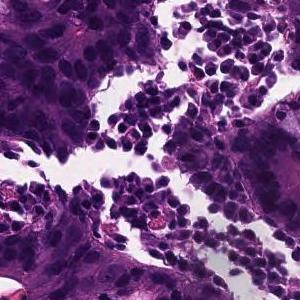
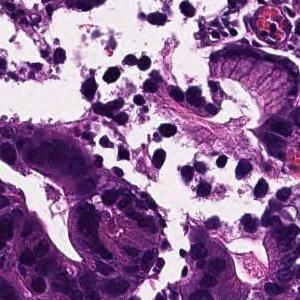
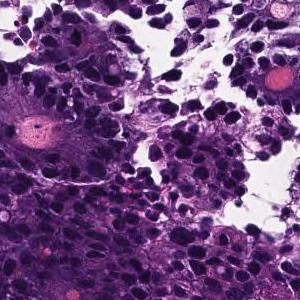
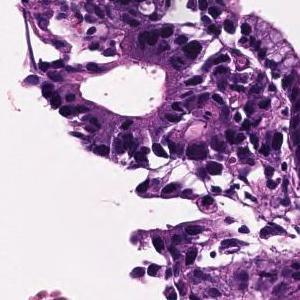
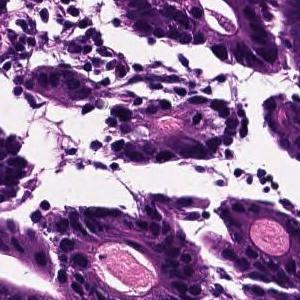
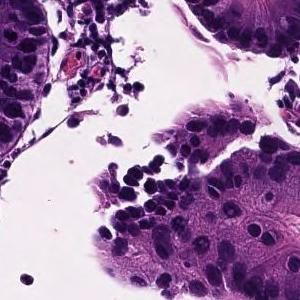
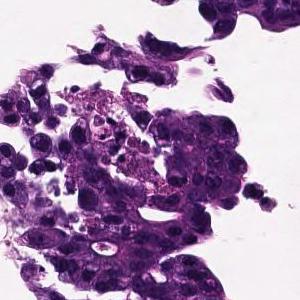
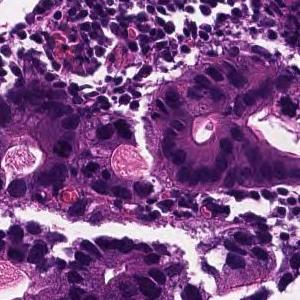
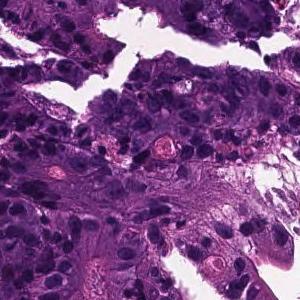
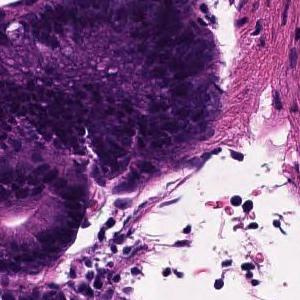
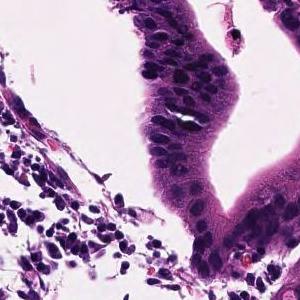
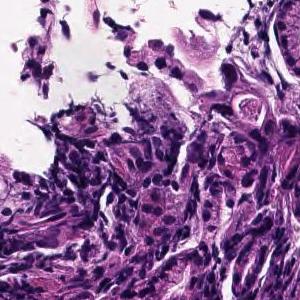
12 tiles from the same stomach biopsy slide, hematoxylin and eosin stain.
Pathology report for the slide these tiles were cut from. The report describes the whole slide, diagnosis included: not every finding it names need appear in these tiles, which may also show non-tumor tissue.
From the superficial epithelium to the muscularis mucosae, tumor tissue infiltrating by forming medium-sized irregular gland ducts is observed. Large tumor cells exhibit large nucleus and hyperchromatism. Well differentiated tubular adenocarcinoma
